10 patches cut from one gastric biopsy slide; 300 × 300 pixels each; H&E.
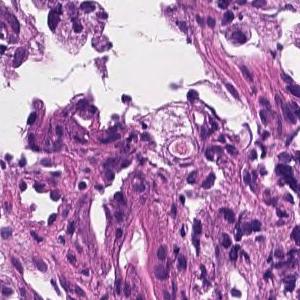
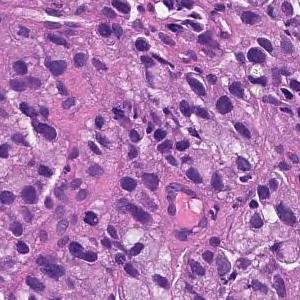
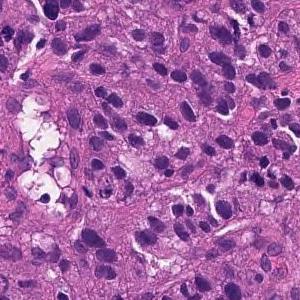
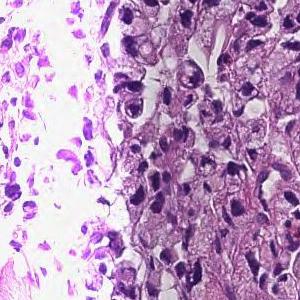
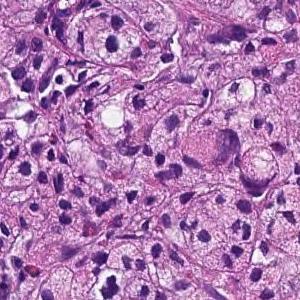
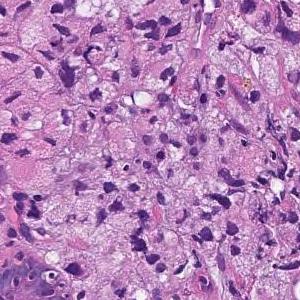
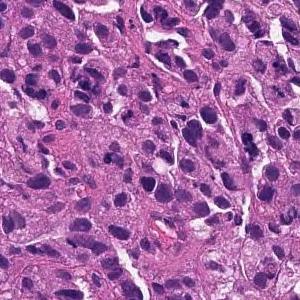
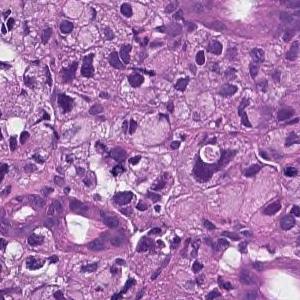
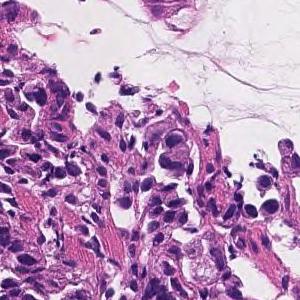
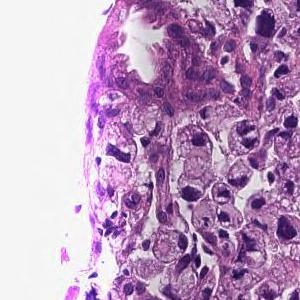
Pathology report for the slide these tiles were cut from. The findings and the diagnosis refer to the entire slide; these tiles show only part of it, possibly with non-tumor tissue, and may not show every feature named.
In the lamina propria, a tumor tissue consisting of signet ring cell type atypical epithelial cells infiltrating is observed. Signet ring cell carcinoma.
